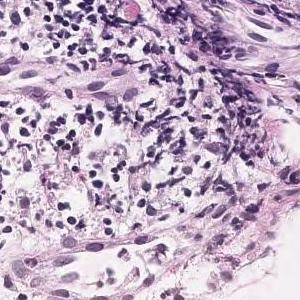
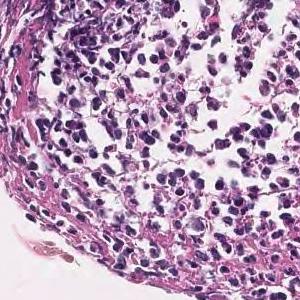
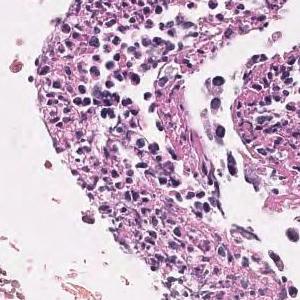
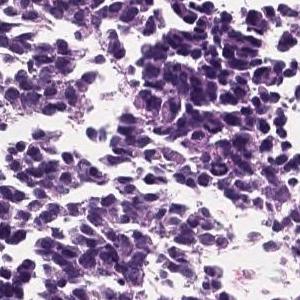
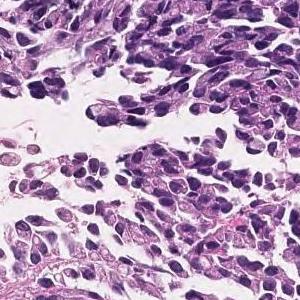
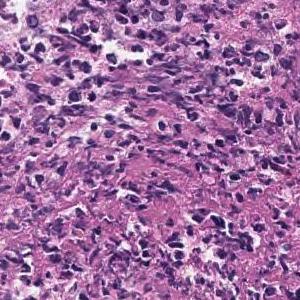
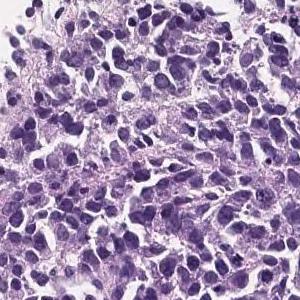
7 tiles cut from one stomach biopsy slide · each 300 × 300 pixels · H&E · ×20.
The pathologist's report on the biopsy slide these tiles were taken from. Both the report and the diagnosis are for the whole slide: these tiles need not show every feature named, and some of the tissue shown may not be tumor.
The superficial epithelium shows a large sheet-like shape, and some tumor tissue infiltrates with small irregular ducts. Poorly differentiated adenocarcinoma, solid-type
Histological subtype: Poorly differentiated adenocarcinoma, solid type (Japanese Classification of Gastric Carcinoma). The WHO 2019 equivalent is tubular adenocarcinoma, poorly differentiated.
